8 image tiles from a single gastric biopsy slide; 300 × 300 pixels each; hematoxylin and eosin stain; scanned at ×20.
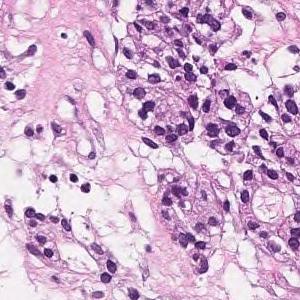
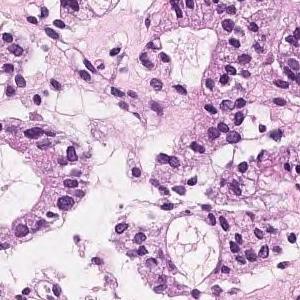
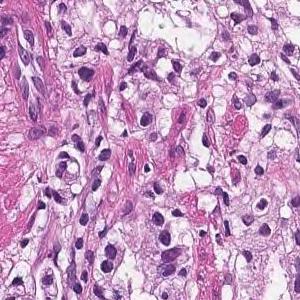
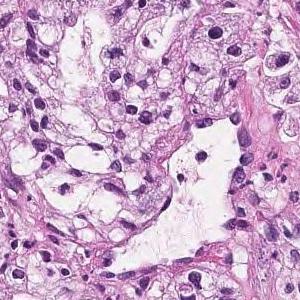
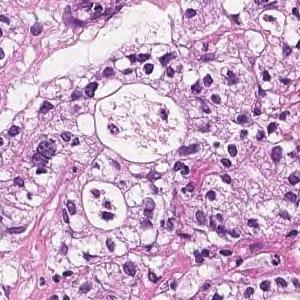
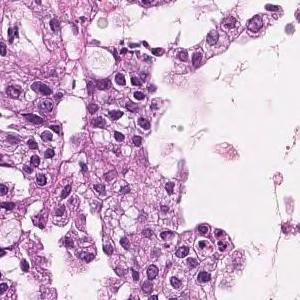
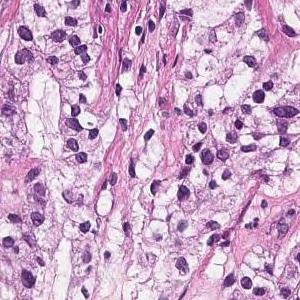
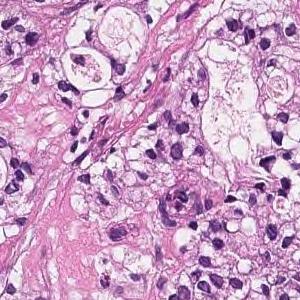
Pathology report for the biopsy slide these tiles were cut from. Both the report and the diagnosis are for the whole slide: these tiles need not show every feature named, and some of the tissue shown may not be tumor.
In the superficial epithelium, tumor tissue that invades by forming medium-sized to small, irregular ducts is observed. moderately differentiated tubular adenocarcinoma.
